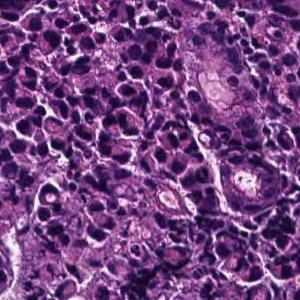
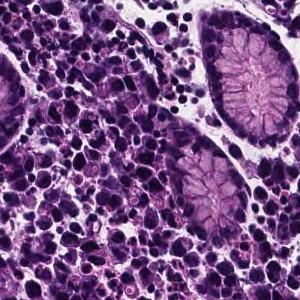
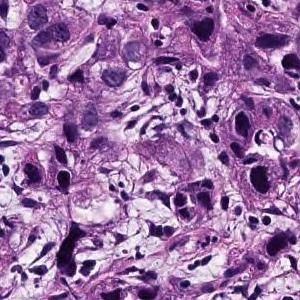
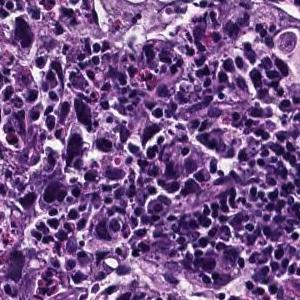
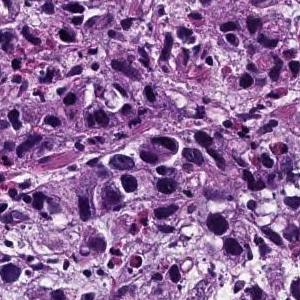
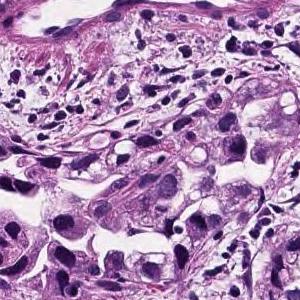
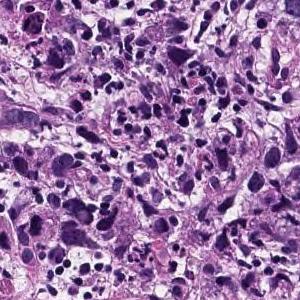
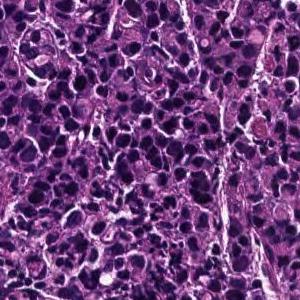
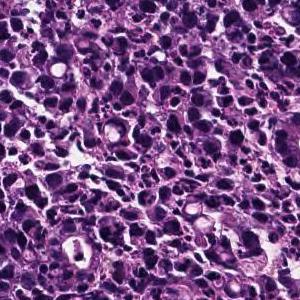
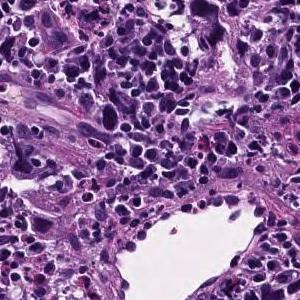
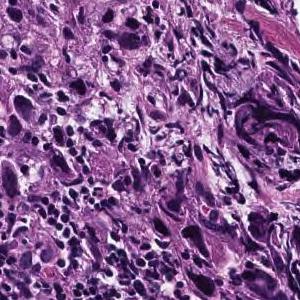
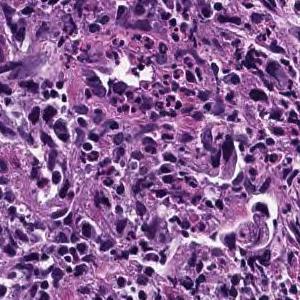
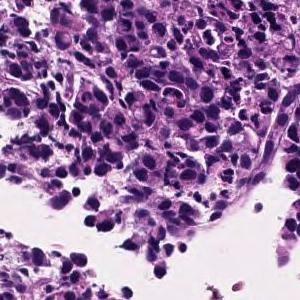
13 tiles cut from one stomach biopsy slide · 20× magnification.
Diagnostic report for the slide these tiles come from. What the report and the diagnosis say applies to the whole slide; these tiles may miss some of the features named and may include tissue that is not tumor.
The superficial epithelium shows a large sheet-like shape, and some tumor tissue infiltrates with small irregular ducts. Poorly differentiated adenocarcinoma, solid-type
Histological subtype: Poorly differentiated adenocarcinoma, solid type, a category of the Japanese Classification of Gastric Carcinoma; in the WHO 2019 classification it is tubular adenocarcinoma, poorly differentiated.
